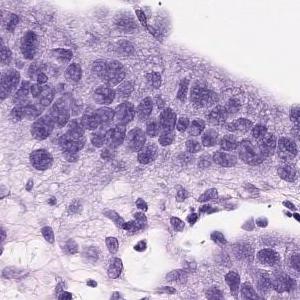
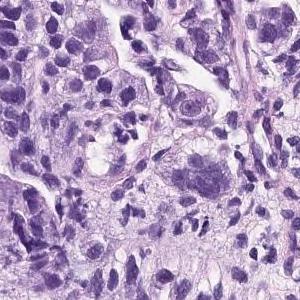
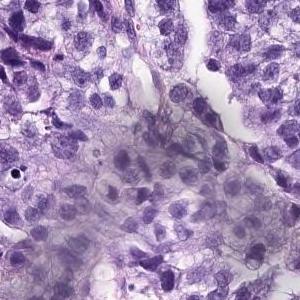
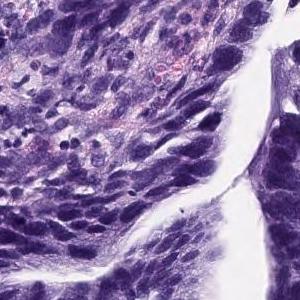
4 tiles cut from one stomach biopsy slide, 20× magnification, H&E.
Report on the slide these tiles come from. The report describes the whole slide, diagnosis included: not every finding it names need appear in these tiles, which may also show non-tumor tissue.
On the superficial epithelium, tumor tissue consisting of medium to small irregular tubules partially fused and proliferated is observed. moderately differentiated tubular adenocarcinoma
